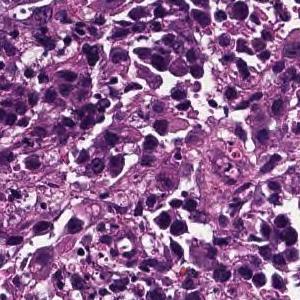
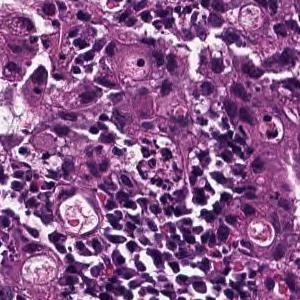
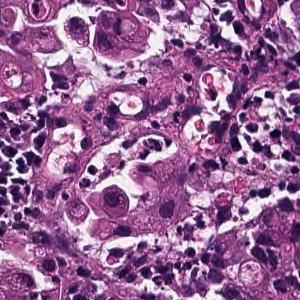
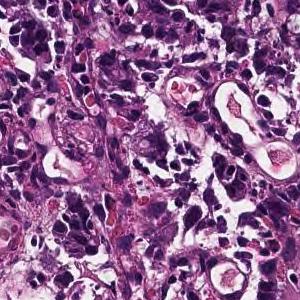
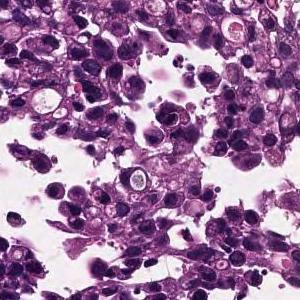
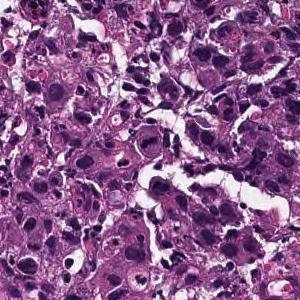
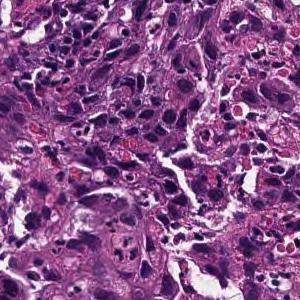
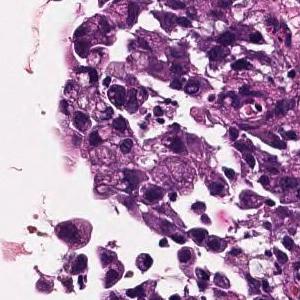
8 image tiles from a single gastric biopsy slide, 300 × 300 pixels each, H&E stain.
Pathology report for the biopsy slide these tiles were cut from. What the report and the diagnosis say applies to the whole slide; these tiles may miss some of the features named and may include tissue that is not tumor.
The superficial epithelium shows a large sheet-like shape, and some tumor tissue infiltrates with small irregular ducts. Poorly differentiated adenocarcinoma, solid-type
Tumor subtype: poorly differentiated adenocarcinoma, solid type (Japanese Classification of Gastric Carcinoma). The WHO 2019 equivalent is tubular adenocarcinoma, poorly differentiated.
